6 tiles from the same stomach biopsy slide · H&E stain · ×20.
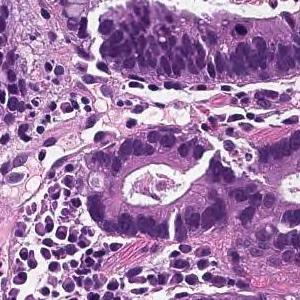
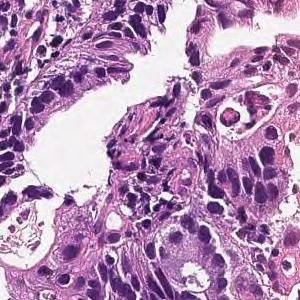
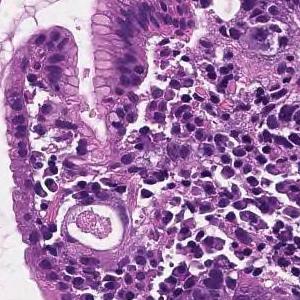
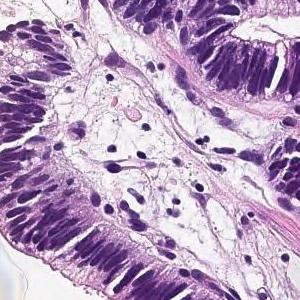
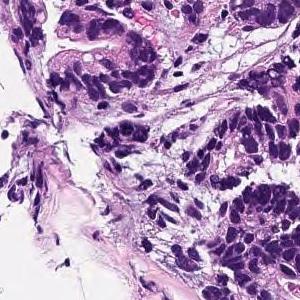
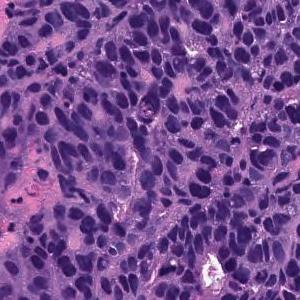
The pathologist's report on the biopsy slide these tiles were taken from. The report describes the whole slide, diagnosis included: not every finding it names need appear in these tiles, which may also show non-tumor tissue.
In the superficial epithelium, tumor tissue that invades by forming medium-sized to small, irregular ducts is observed. moderately differentiated tubular adenocarcinoma.
